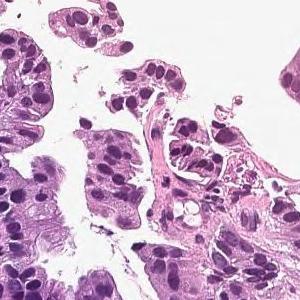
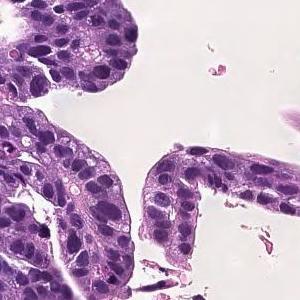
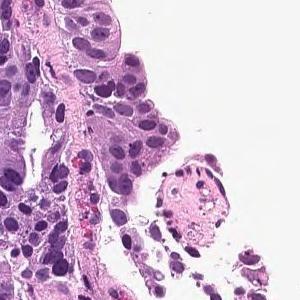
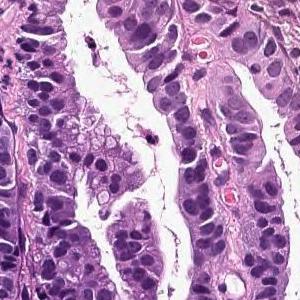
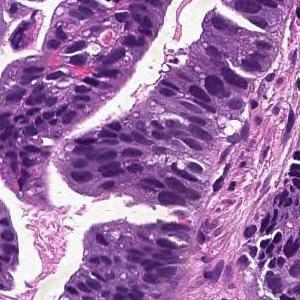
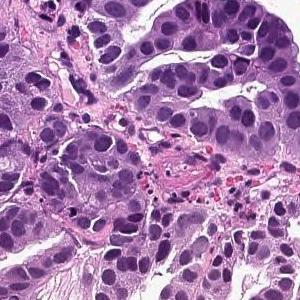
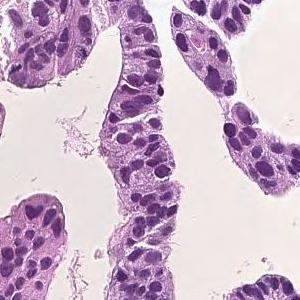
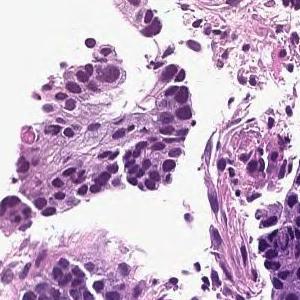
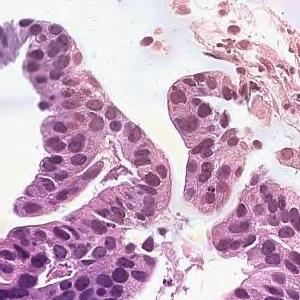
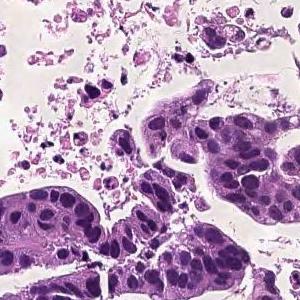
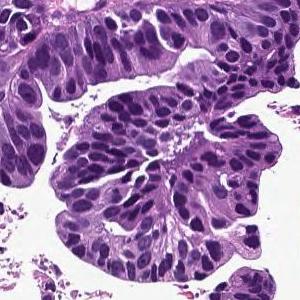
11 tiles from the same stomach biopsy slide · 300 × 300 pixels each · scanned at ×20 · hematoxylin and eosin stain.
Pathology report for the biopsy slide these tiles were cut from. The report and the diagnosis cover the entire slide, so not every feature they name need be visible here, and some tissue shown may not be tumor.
Tumor cells are large, highly columnar, large club-shaped nuclei, and are associated with chromatin aggregation. Papillary adenocarcinoma.
